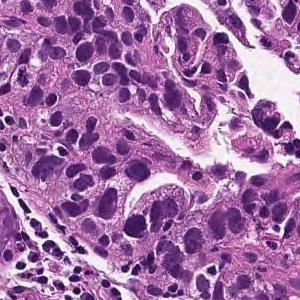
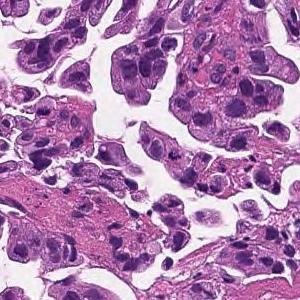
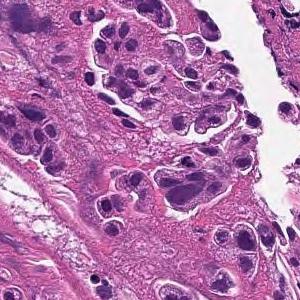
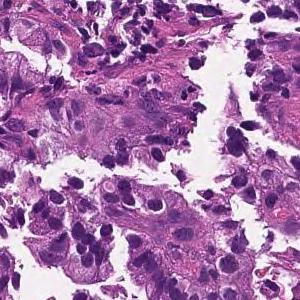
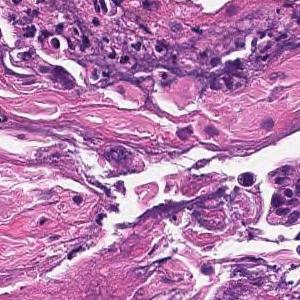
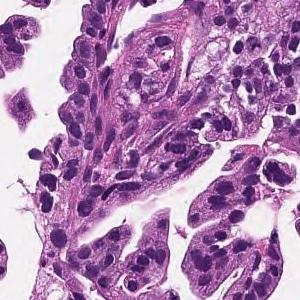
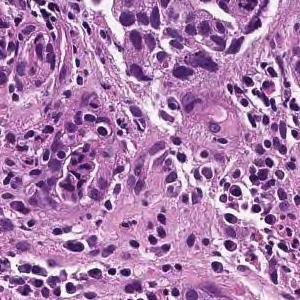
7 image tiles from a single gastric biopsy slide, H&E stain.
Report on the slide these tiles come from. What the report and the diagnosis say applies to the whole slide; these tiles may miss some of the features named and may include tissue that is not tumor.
Medium to small, irregular glandular ducts are formed in the superficial epithelium, and in some cases, the glandular ducts are fused to show solid alveolar lesions and infiltrating tumor tissue is observed. Moderately to poorly differentiated adenocarcinoma.
